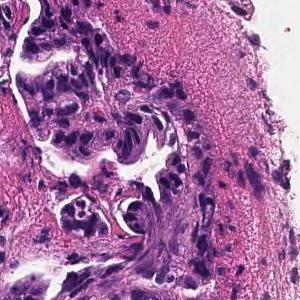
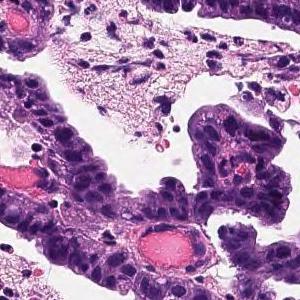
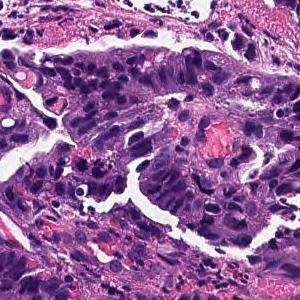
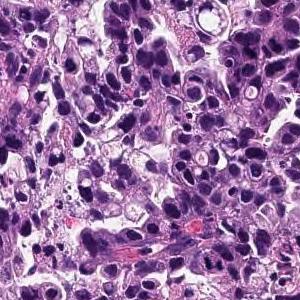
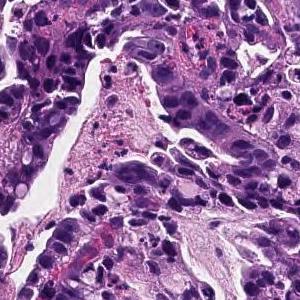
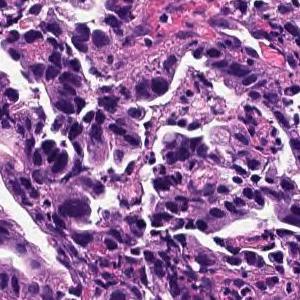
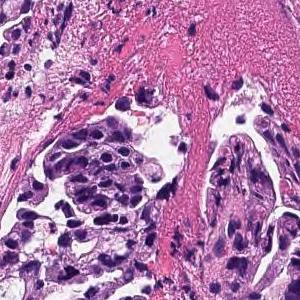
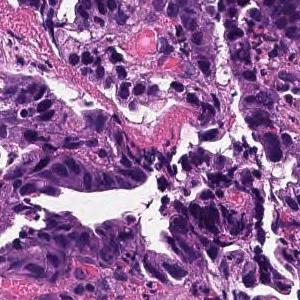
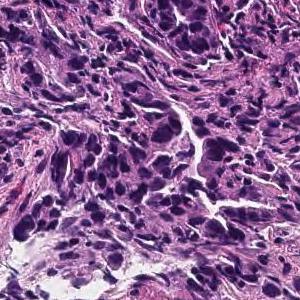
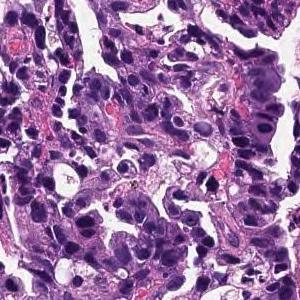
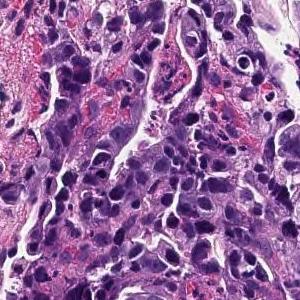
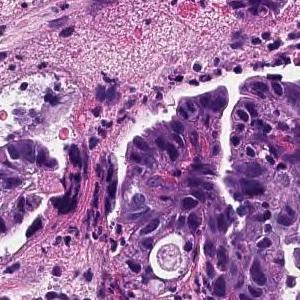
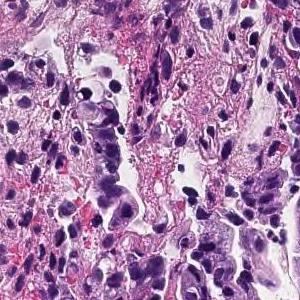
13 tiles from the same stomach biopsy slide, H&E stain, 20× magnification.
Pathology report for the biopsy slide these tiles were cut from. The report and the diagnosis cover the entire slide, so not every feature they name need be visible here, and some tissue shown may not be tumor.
Infiltrating tumor tissue is observed in the superficial epithelium, showing large papillary structures or large and small ducts. Papillary adenocarcinoma
